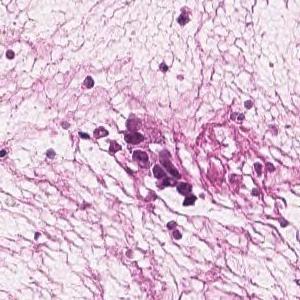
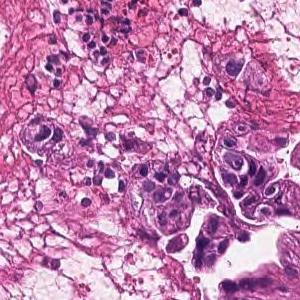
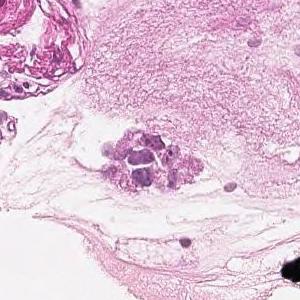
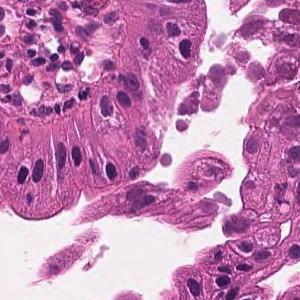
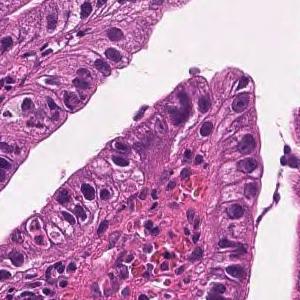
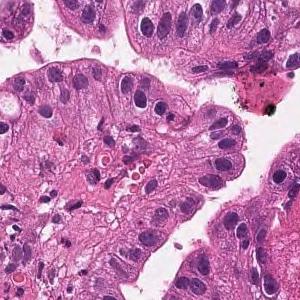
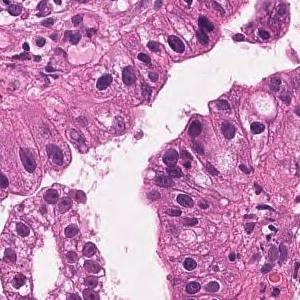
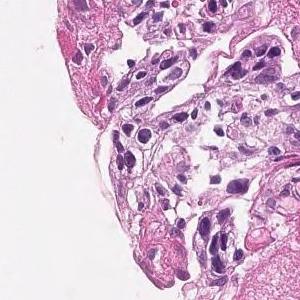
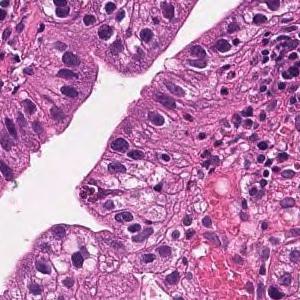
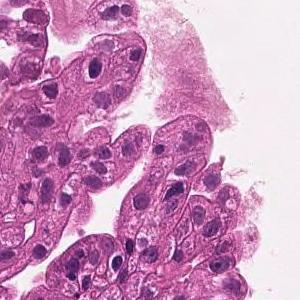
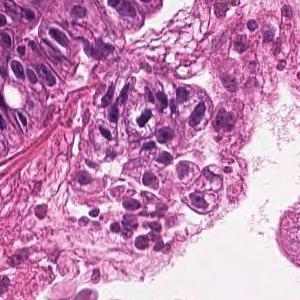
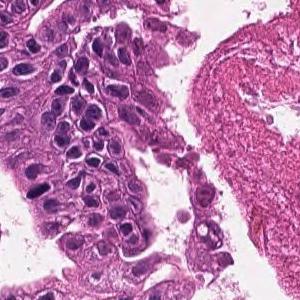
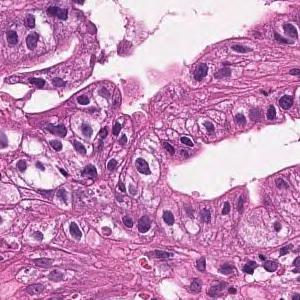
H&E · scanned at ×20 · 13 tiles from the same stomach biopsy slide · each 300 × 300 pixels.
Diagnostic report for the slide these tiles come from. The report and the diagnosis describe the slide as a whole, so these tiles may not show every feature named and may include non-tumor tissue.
Tumor cells are large, highly columnar, large club-shaped nuclei, and are associated with chromatin aggregation. Papillary adenocarcinoma.
